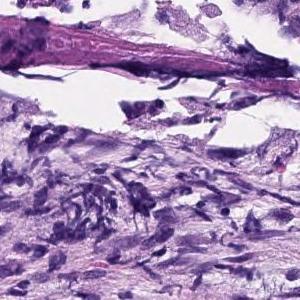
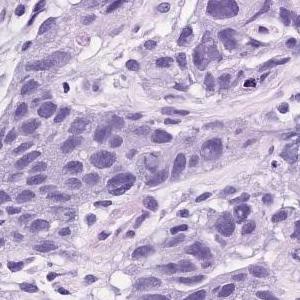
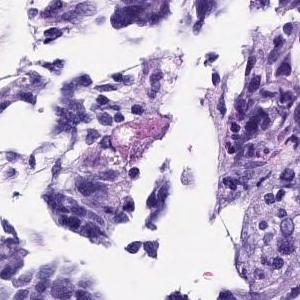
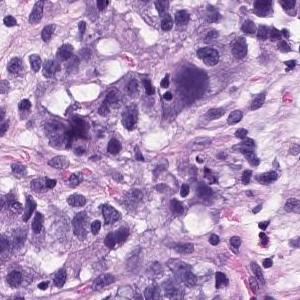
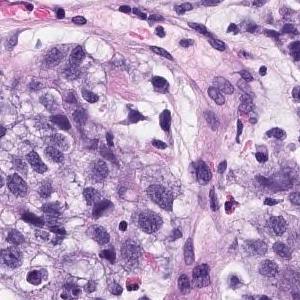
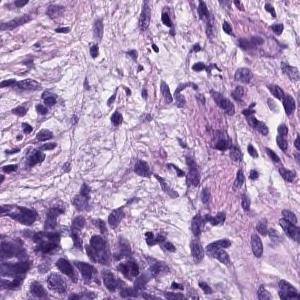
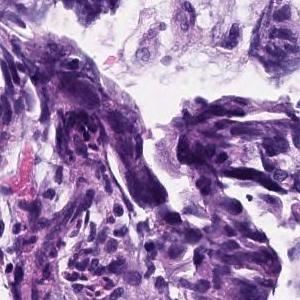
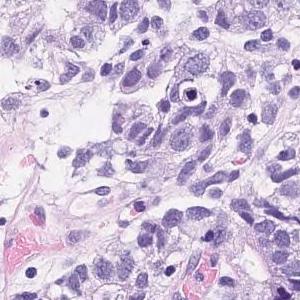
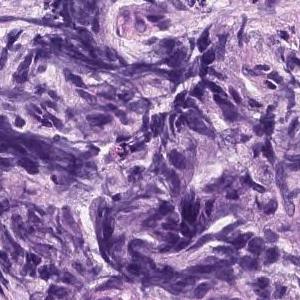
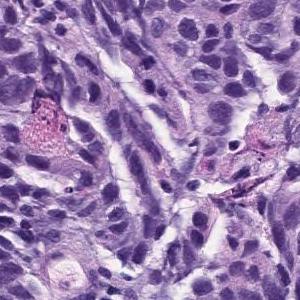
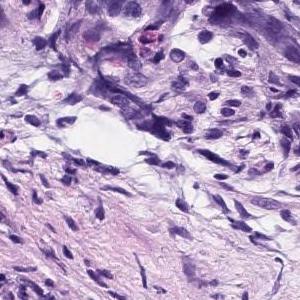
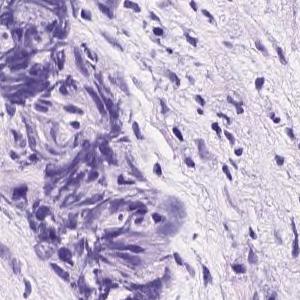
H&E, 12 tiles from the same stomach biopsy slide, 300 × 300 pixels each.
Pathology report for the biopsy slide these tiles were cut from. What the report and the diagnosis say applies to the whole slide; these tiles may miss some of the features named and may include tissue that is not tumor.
Atypical epithelial cells with an increased N/C ratio proliferate and consist of a part that shows the formation of gland ducts and a part that shows solid growth. Poorly differentiated adenocarcinoma, solid-type
Histological subtype: Poorly differentiated adenocarcinoma, solid type, a category of the Japanese Classification of Gastric Carcinoma; in the WHO 2019 classification it is tubular adenocarcinoma, poorly differentiated.
